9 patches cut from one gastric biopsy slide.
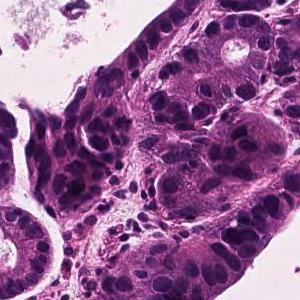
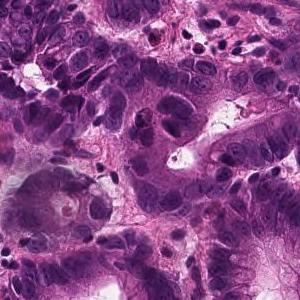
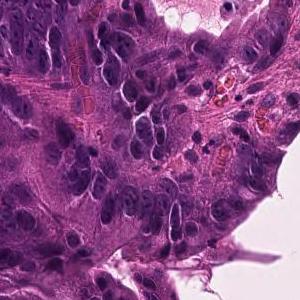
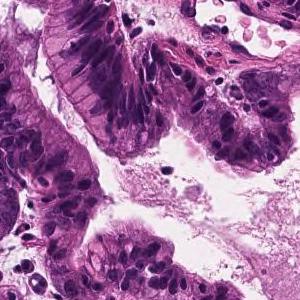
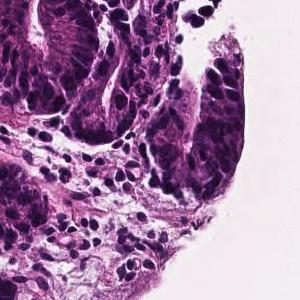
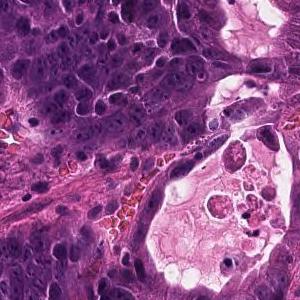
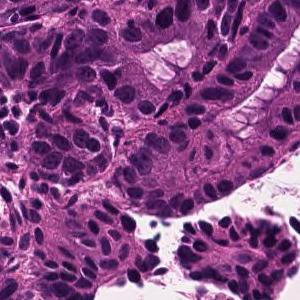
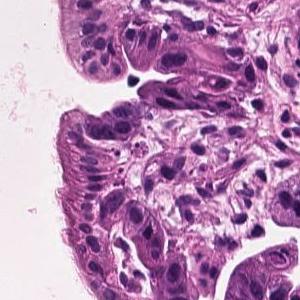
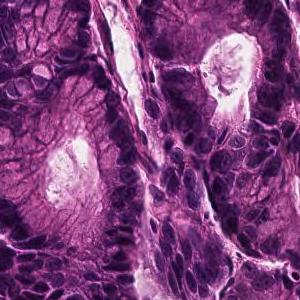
Pathology report for the biopsy slide these tiles were cut from. The report describes the whole slide, diagnosis included: not every finding it names need appear in these tiles, which may also show non-tumor tissue.
In the superficial epithelium, tumor tissue that invades by forming medium-sized to small, irregular ducts is observed. Well differentiated tubular adenocarcinoma.
